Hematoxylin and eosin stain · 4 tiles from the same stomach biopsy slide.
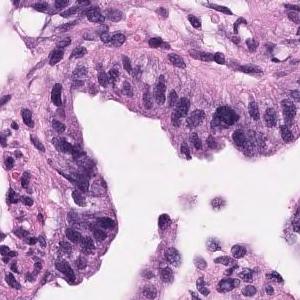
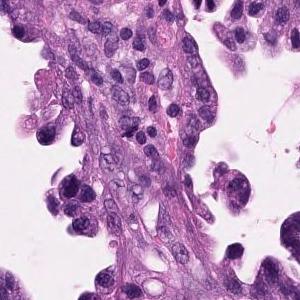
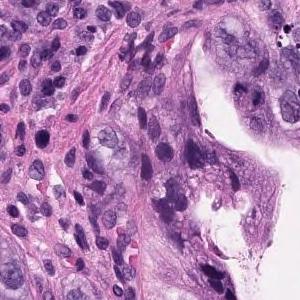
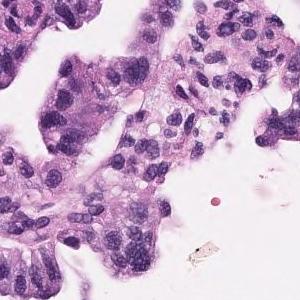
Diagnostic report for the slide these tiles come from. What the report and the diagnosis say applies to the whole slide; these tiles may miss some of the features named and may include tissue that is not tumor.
Tumor cells are large, highly columnar, large club-shaped nuclei, and are associated with chromatin aggregation. Papillary adenocarcinoma.
